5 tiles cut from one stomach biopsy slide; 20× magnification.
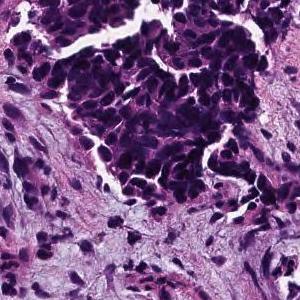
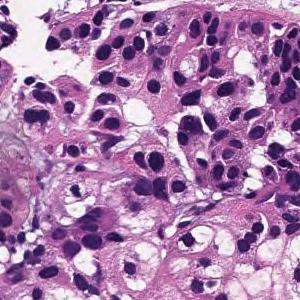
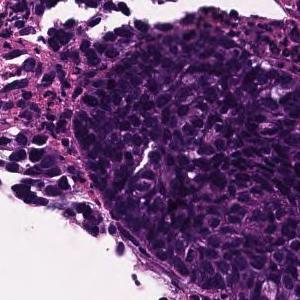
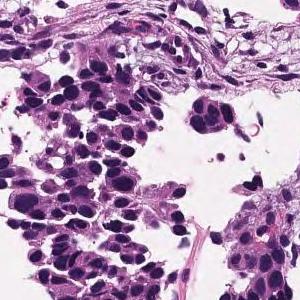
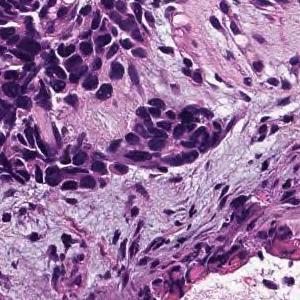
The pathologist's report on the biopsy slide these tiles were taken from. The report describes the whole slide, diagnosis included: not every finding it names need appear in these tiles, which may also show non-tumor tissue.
Medium to small, irregular glandular ducts are formed in the superficial epithelium, and in some cases, the glandular ducts are fused to show solid alveolar lesions and infiltrating tumor tissue is observed. Moderately to poorly differentiated adenocarcinoma.
